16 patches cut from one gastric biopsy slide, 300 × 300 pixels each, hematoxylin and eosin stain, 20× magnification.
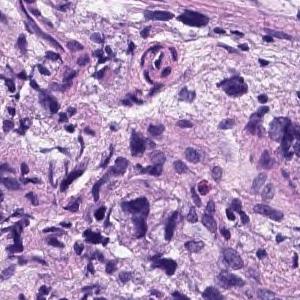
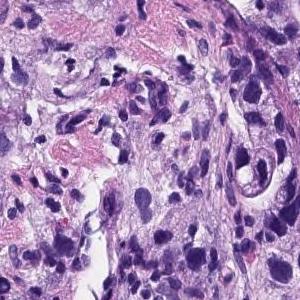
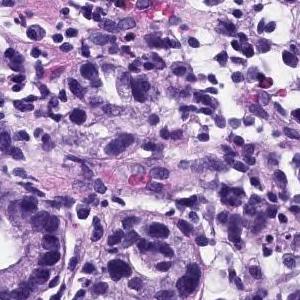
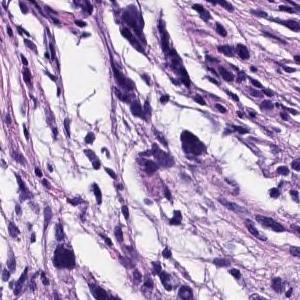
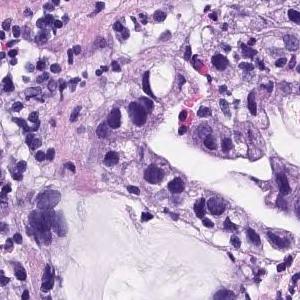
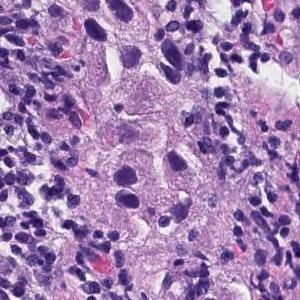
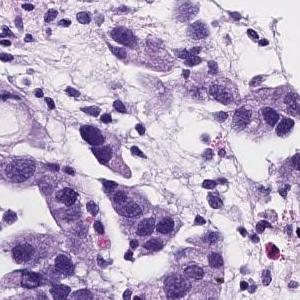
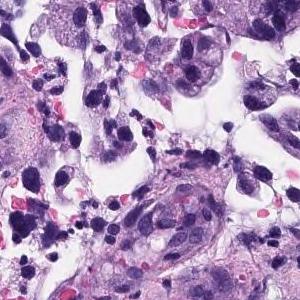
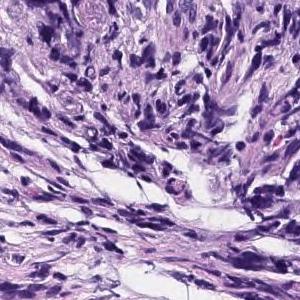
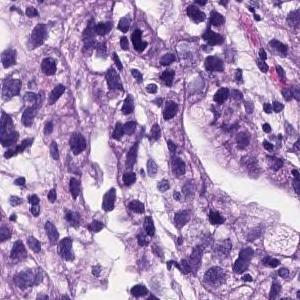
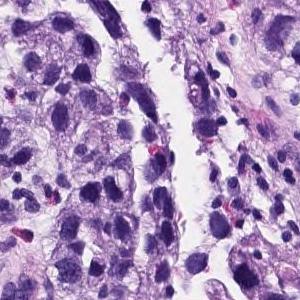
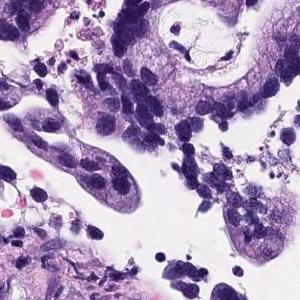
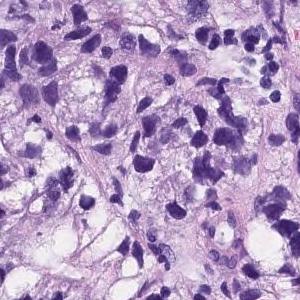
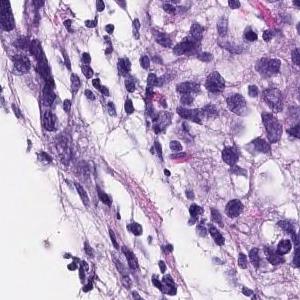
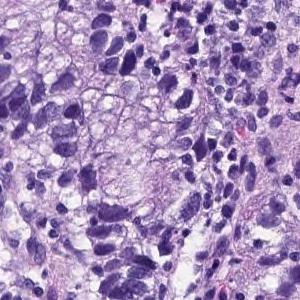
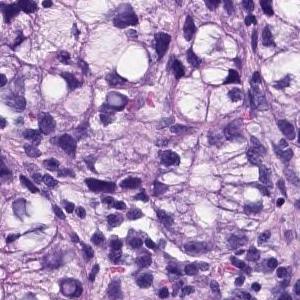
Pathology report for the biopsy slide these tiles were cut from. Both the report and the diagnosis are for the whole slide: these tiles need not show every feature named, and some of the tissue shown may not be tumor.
Medium to small, irregular glandular ducts are formed in the superficial epithelium, and in some cases, the glandular ducts are fused to show solid alveolar lesions and infiltrating tumor tissue is observed. Poorly differentiated adenocarcinoma, Moderately differentiated adenocarcinoma.
Labeled in the dataset as moderately differentiated tubular adenocarcinoma.
